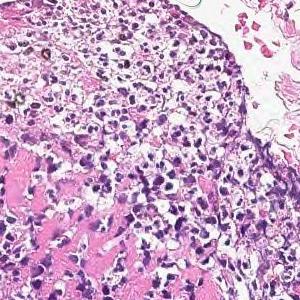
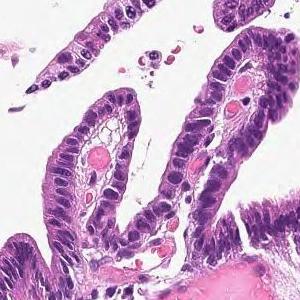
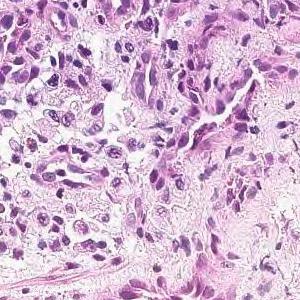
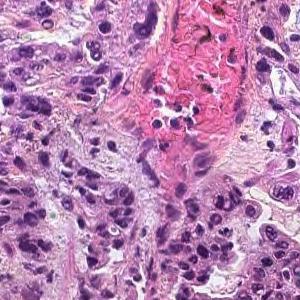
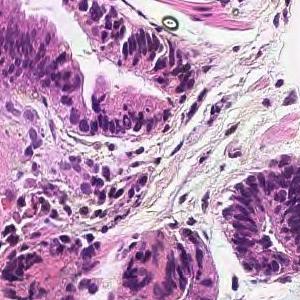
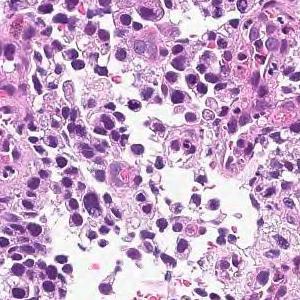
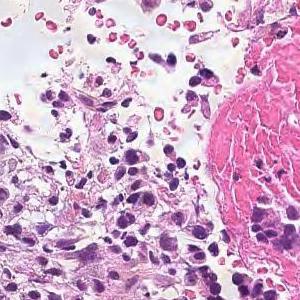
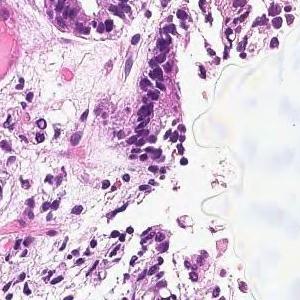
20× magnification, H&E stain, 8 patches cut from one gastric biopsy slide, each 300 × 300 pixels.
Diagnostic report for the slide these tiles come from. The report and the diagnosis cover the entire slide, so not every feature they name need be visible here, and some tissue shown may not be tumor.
Tumor tissue consisting of medium-sized, cord-like or irregular glandular infiltration is observed in the superficial epithelium. Poorly differentiated adenocarcinoma, non-solid type or moderately differentiated tubular adenocarcinoma
Subtype: Moderately to poorly differentiated adenocarcinoma.
"Non-solid type" is a category of the Japanese Classification of Gastric Carcinoma.
